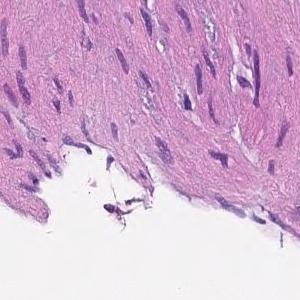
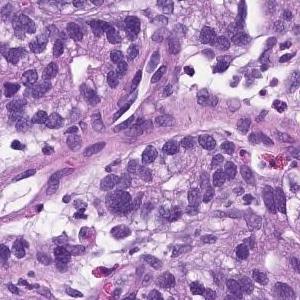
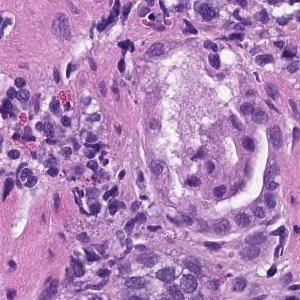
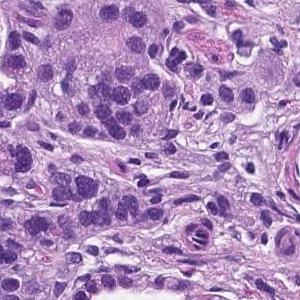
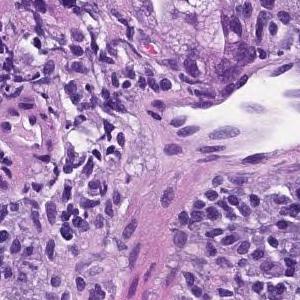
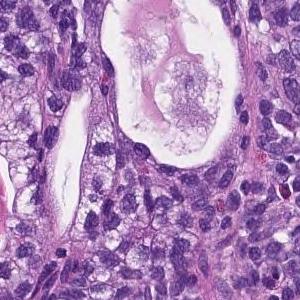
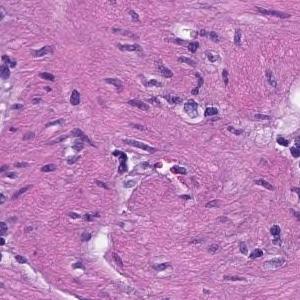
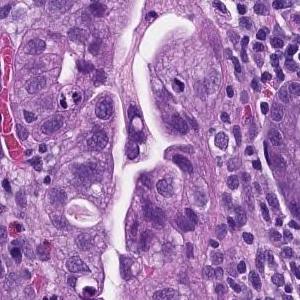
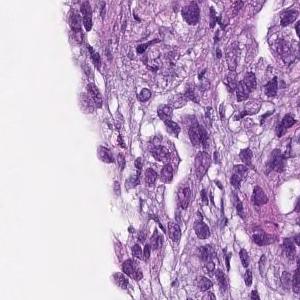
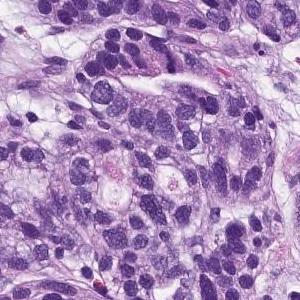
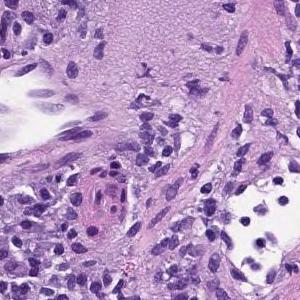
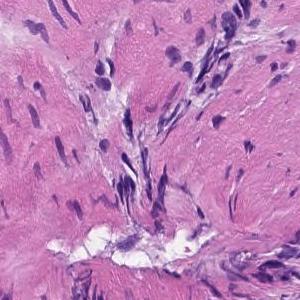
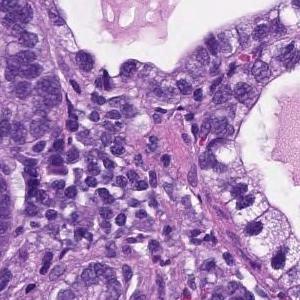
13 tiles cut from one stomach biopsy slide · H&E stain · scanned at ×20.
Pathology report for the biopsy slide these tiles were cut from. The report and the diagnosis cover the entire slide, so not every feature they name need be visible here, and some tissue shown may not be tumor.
From the superficial epithelium to the muscularis mucosae, tumor tissue consisting of medium-sized and irregular glandular ducts infiltrating is observed. Well differentiated tubular adenocarcinoma
